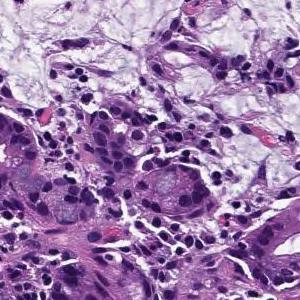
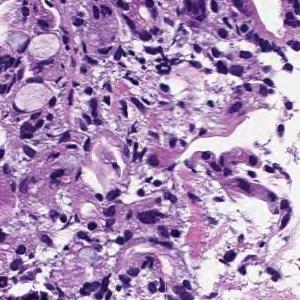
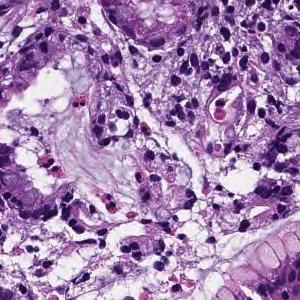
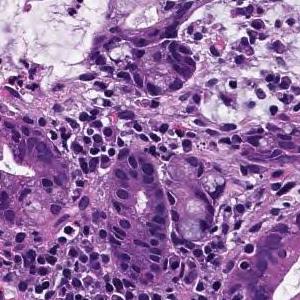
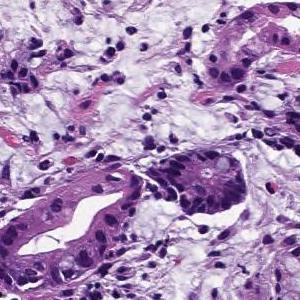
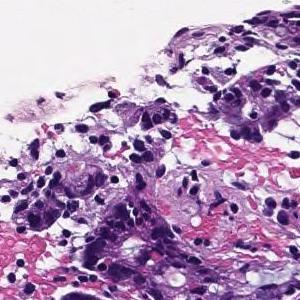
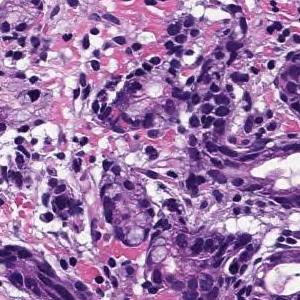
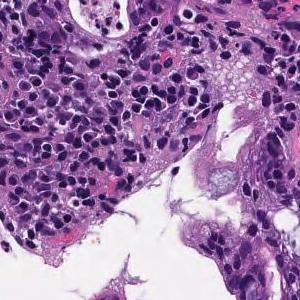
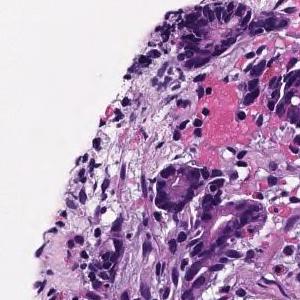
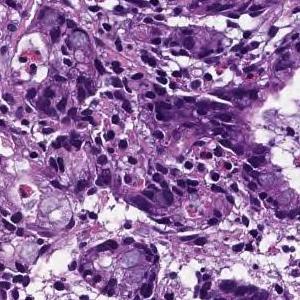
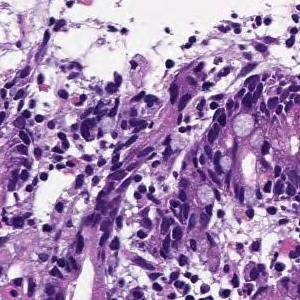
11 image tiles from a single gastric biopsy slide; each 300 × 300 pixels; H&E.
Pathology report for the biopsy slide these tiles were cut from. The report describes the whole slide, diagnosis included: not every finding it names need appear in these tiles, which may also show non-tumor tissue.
Tumor tissue consisting of medium-sized, cord-like or irregular glandular infiltration is observed in the superficial epithelium. Poorly differentiated adenocarcinoma, non-solid type or moderately differentiated tubular adenocarcinoma
Tumor subtype: moderately to poorly differentiated adenocarcinoma.
"Non-solid type" is a category of the Japanese Classification of Gastric Carcinoma.
